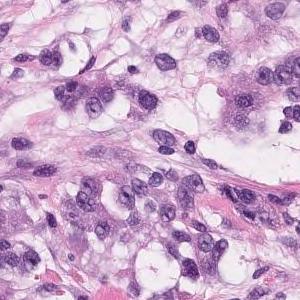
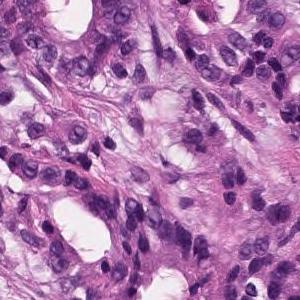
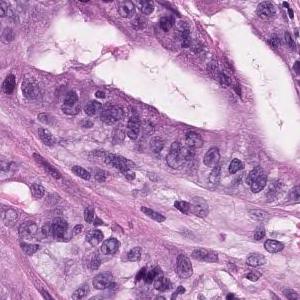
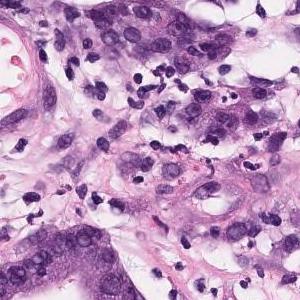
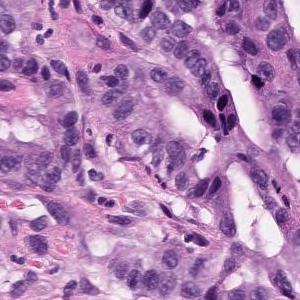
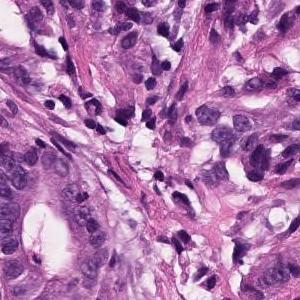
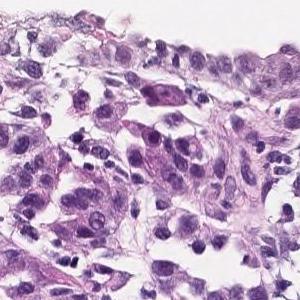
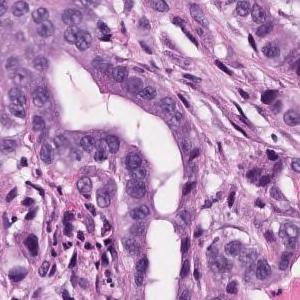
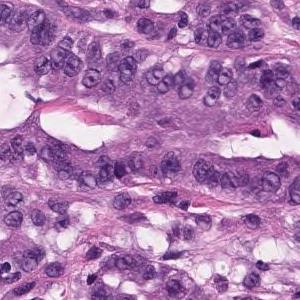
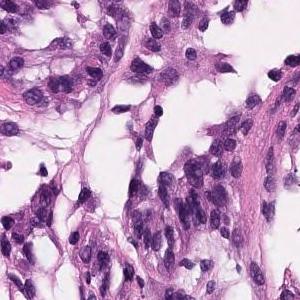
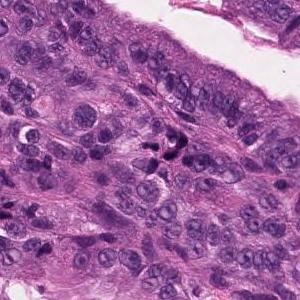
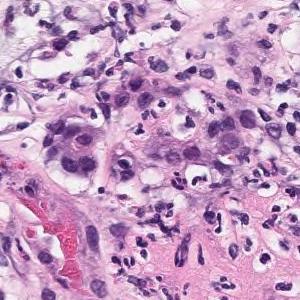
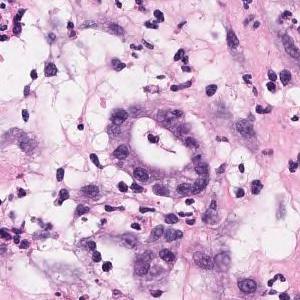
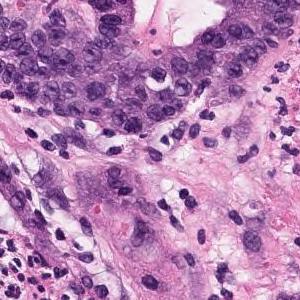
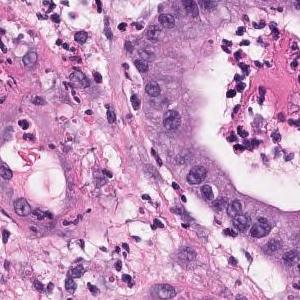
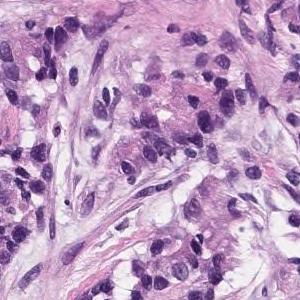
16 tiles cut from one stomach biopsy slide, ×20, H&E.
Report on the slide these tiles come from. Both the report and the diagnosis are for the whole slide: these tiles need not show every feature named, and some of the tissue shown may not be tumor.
In the superficial epithelium, tumor tissue that invades by forming medium-sized to small, irregular ducts is observed. Moderately differentiated adenocarcinoma.
Histologic type: Moderately differentiated tubular adenocarcinoma.
